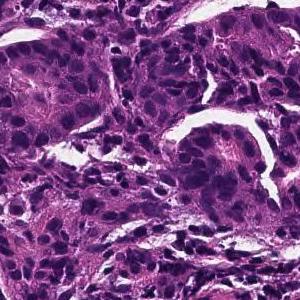
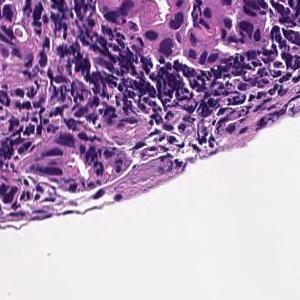
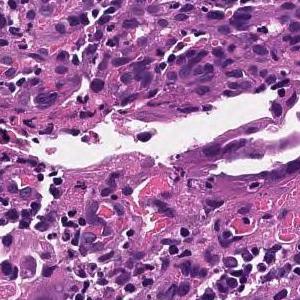
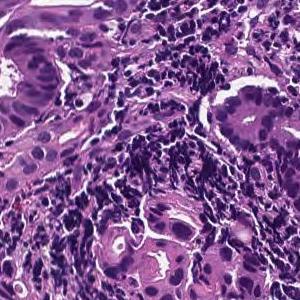
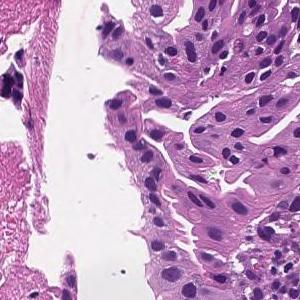
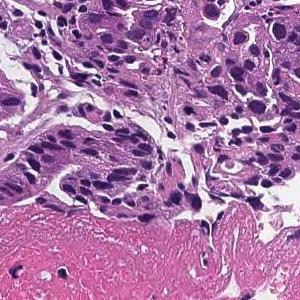
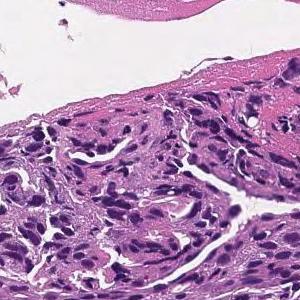
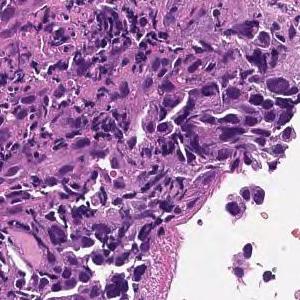
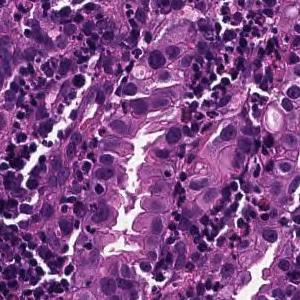
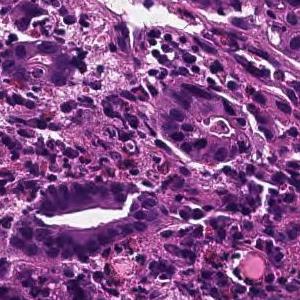
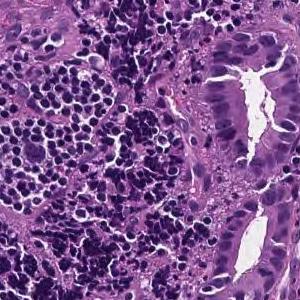
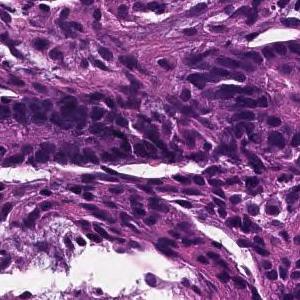
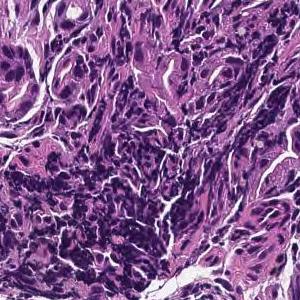
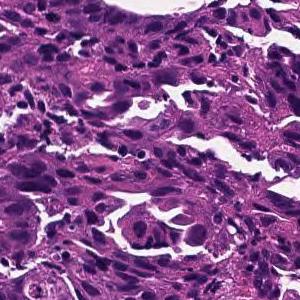
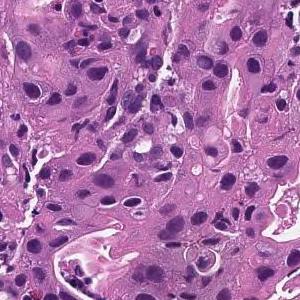
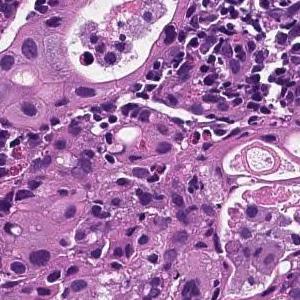
20× magnification, 16 tiles from the same stomach biopsy slide.
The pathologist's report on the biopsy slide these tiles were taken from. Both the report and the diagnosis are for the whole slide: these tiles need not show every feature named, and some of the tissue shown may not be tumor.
In the superficial epithelium, tumor tissue that invades by forming medium-sized to small, irregular ducts is observed. moderately differentiated tubular adenocarcinoma.
